H&E stain · 7 tiles from the same stomach biopsy slide · 300×300 px each.
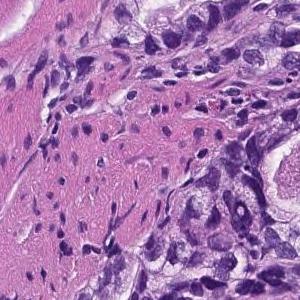
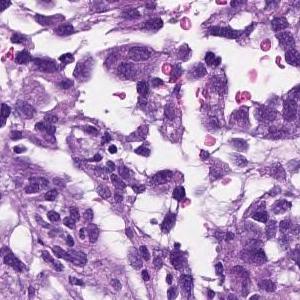
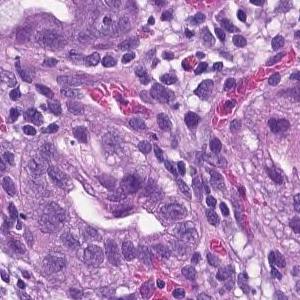
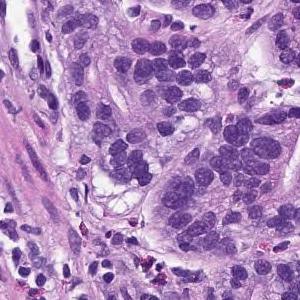
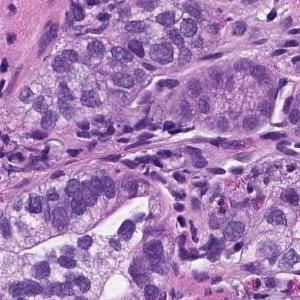
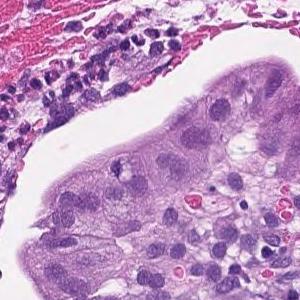
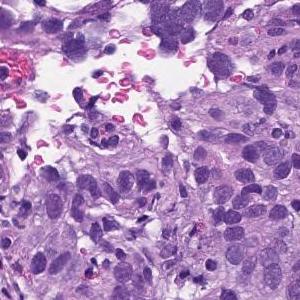
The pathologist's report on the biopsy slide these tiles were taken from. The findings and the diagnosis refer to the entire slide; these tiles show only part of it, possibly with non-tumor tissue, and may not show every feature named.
From the superficial epithelium to the muscularis mucosae, tumor tissue consisting of medium-sized and irregular glandular ducts infiltrating is observed. Well differentiated tubular adenocarcinoma
